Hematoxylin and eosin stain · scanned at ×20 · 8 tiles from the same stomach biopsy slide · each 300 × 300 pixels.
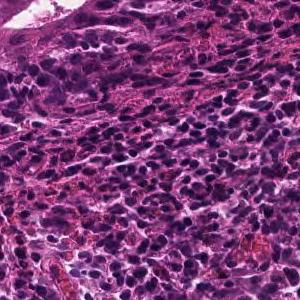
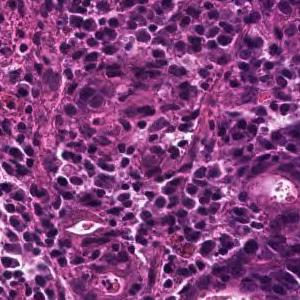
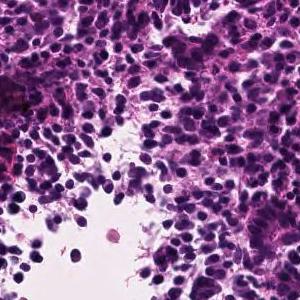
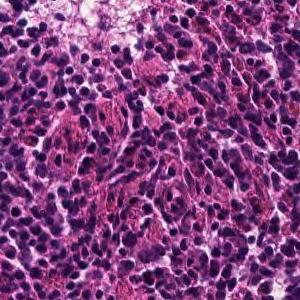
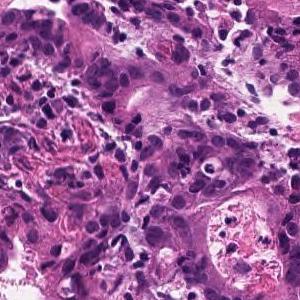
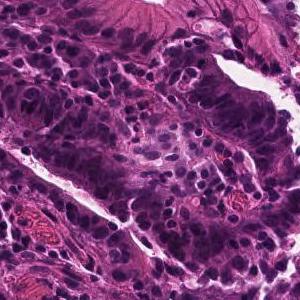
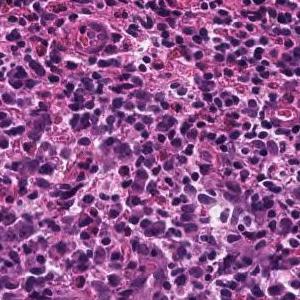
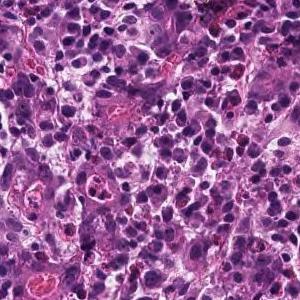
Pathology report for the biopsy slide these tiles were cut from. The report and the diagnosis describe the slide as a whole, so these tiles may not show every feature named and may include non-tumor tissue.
Tumor tissue consisting of medium-sized, cord-like or irregular glandular infiltration is observed in the superficial epithelium. Poorly differentiated adenocarcinoma, non-solid type or moderately differentiated tubular adenocarcinoma
Dataset label: poorly differentiated adenocarcinoma, non-solid type.
"Non-solid type" is a category of the Japanese Classification of Gastric Carcinoma.
